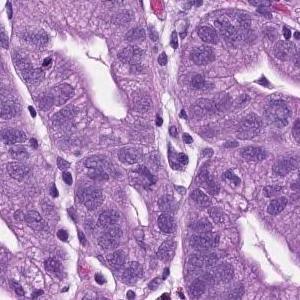
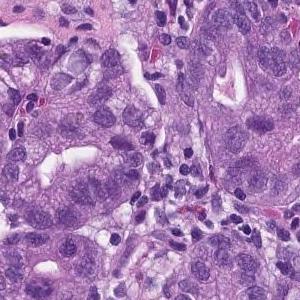
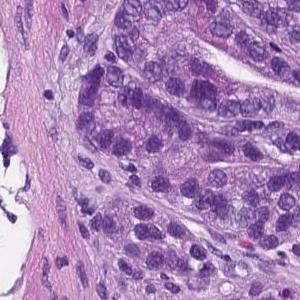
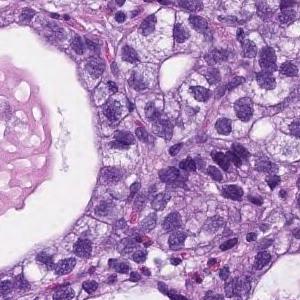
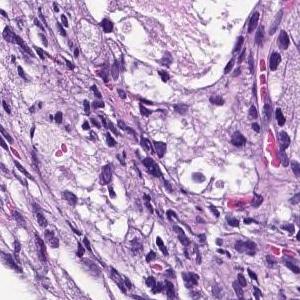
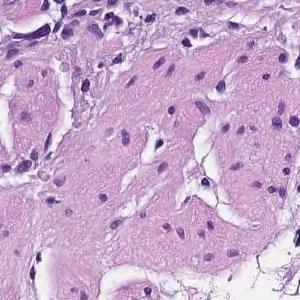
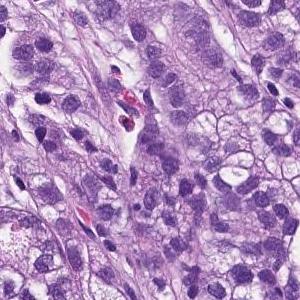
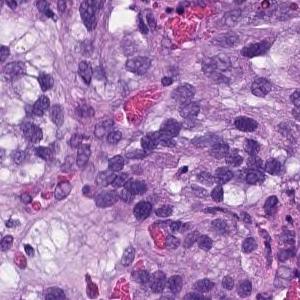
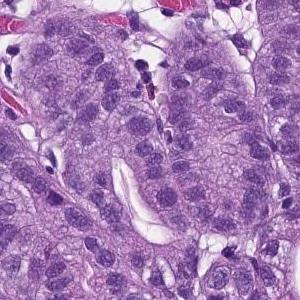
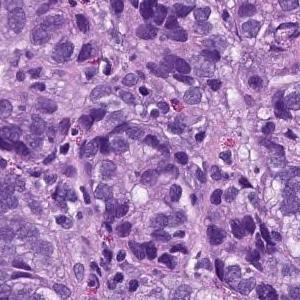
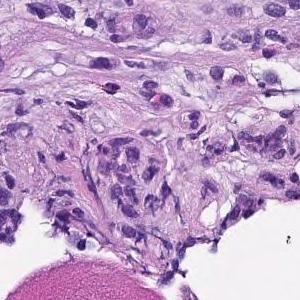
11 image tiles from a single gastric biopsy slide, each 300 × 300 pixels, H&E.
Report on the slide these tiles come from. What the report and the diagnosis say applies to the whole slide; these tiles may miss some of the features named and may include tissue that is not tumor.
From the superficial epithelium to the muscularis mucosae, tumor tissue consisting of medium-sized and irregular glandular ducts infiltrating is observed. Well differentiated tubular adenocarcinoma
